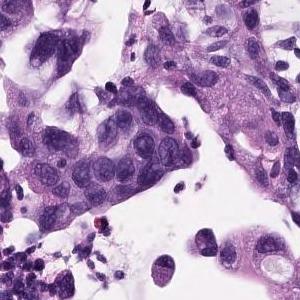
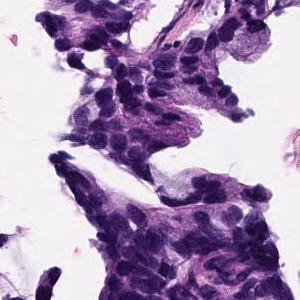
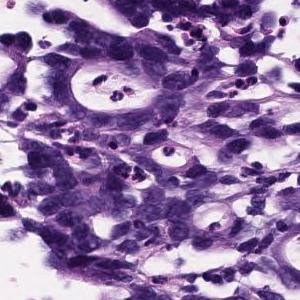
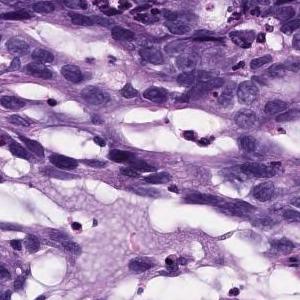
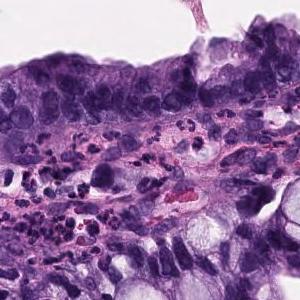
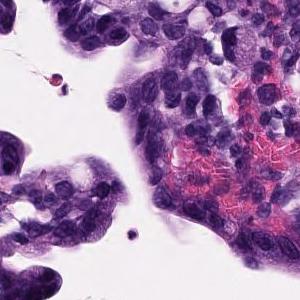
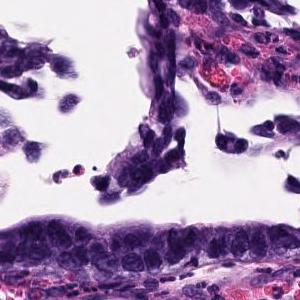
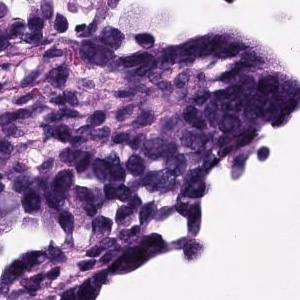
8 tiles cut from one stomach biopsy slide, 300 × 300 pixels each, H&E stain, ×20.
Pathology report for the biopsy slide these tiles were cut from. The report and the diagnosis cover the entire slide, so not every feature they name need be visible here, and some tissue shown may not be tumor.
Atypical epithelium proliferating showing villus construction and irregular gland duct construction is observed. Moderately differentiated tubular adenocarcinoma.
